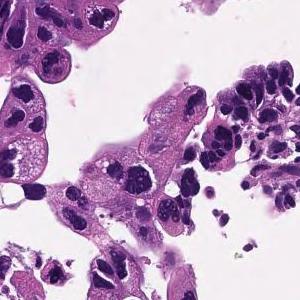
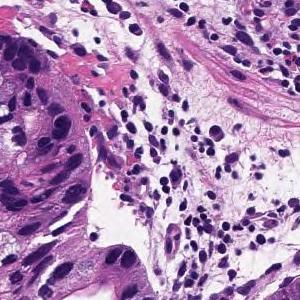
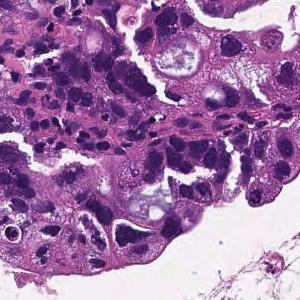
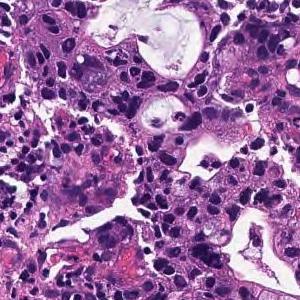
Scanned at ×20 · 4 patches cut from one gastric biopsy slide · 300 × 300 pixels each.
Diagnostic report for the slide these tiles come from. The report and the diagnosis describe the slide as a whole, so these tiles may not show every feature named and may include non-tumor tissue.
In the superficial epithelium, tumor tissue that invades by forming medium-sized to small, irregular ducts is observed. moderately differentiated tubular adenocarcinoma.
